×20; H&E stain; 6 patches cut from one gastric biopsy slide.
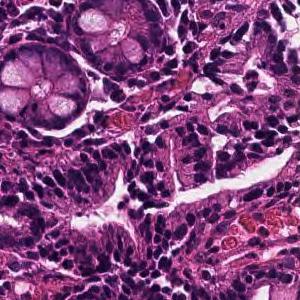
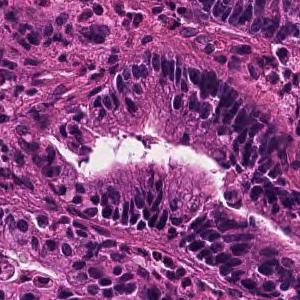
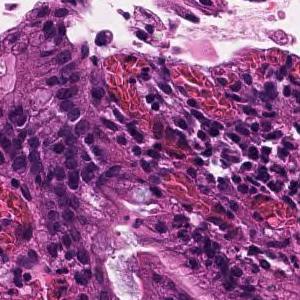
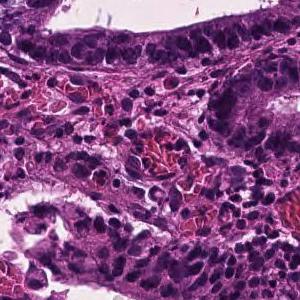
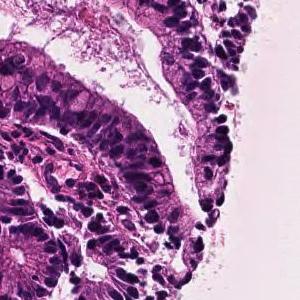
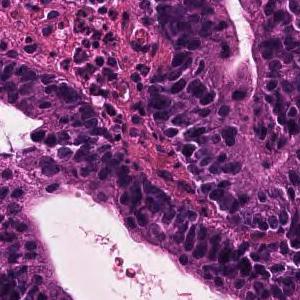
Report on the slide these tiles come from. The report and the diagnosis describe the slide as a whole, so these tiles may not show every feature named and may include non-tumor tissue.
In the superficial epithelium, tumor tissue that invades by forming medium-sized to small, irregular ducts is observed. moderately differentiated tubular adenocarcinoma.
